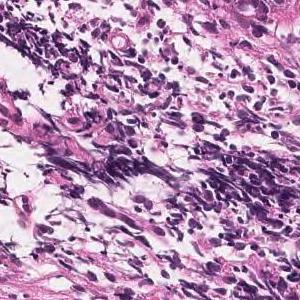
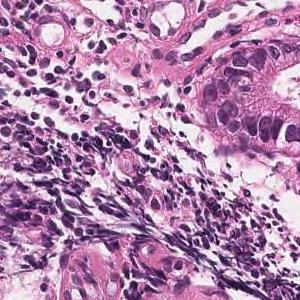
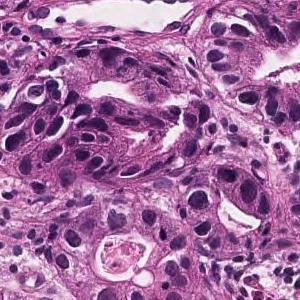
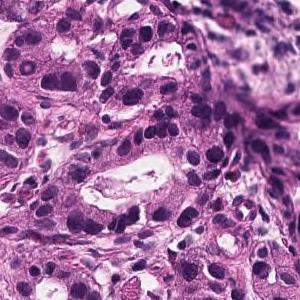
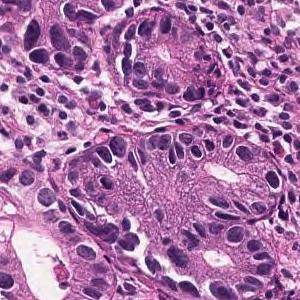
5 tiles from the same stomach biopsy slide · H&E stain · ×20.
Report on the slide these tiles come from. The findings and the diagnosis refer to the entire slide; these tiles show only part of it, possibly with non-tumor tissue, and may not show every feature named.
Tumor tissue consisting of medium-sized and irregular ducts is observed infiltrating in the superficial epithelium. Tumor cells are highly columnar, with nuclei aligned basolaterally and polarized. Well differentiated tubular adenocarcinoma.
